×20; hematoxylin and eosin stain; 7 image tiles from a single gastric biopsy slide; 300 × 300 pixels each.
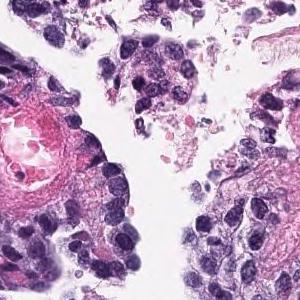
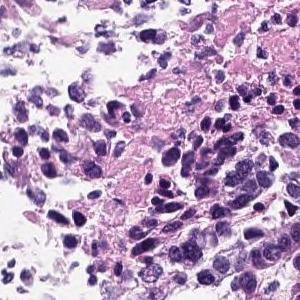
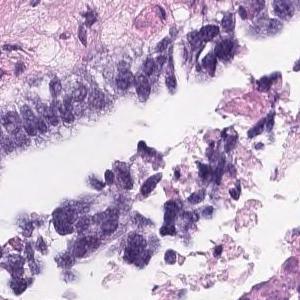
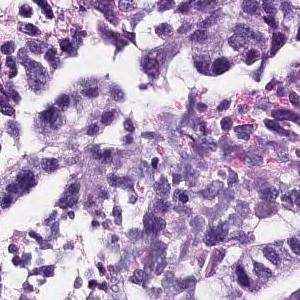
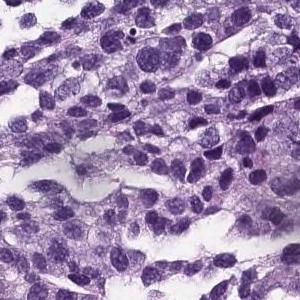
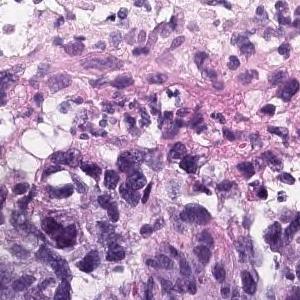
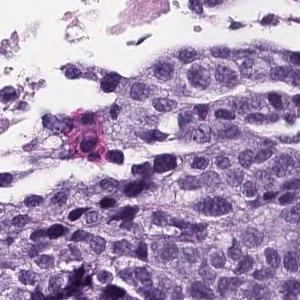
Pathology report for the biopsy slide these tiles were cut from. The report and the diagnosis cover the entire slide, so not every feature they name need be visible here, and some tissue shown may not be tumor.
The superficial epithelium shows a large sheet-like shape, and some tumor tissue infiltrates with small irregular ducts. Poorly differentiated adenocarcinoma, solid-type
Histological subtype: Poorly differentiated adenocarcinoma, solid type, a category of the Japanese Classification of Gastric Carcinoma; in the WHO 2019 classification it is tubular adenocarcinoma, poorly differentiated.
